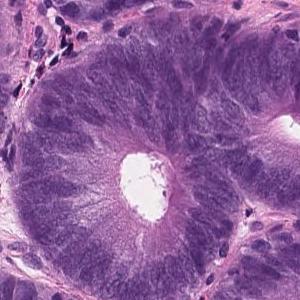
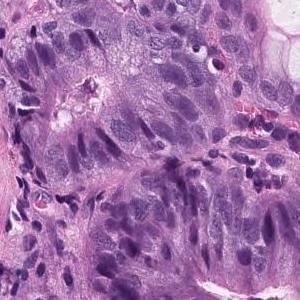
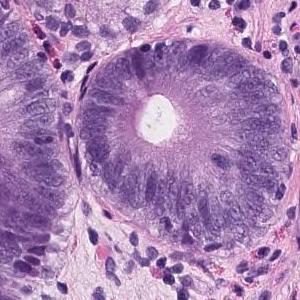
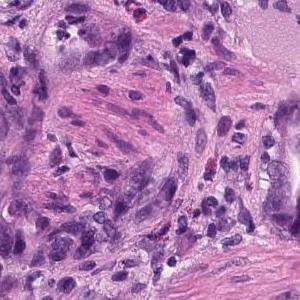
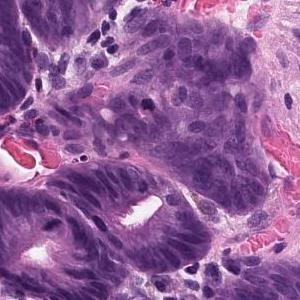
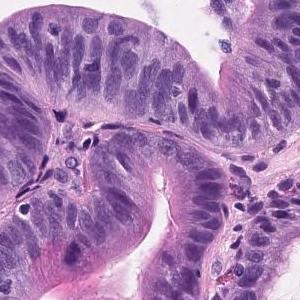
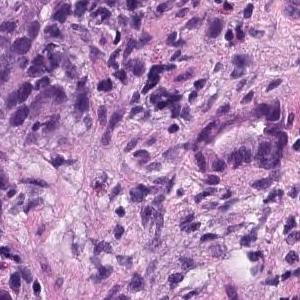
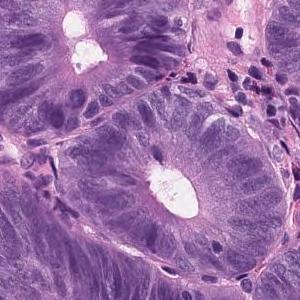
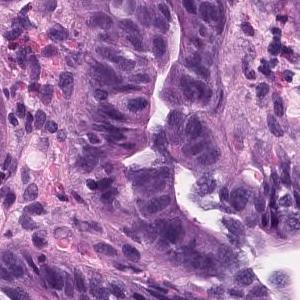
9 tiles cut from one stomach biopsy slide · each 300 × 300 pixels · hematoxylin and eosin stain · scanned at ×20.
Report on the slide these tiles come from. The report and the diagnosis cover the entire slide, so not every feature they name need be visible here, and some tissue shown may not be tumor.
On the superficial epithelium, tumor tissue with densely growing medium to large, round tubules is observed. Tumor cells are highly columnar, with nuclei aligned basolaterally and polarized. Well differentiated tubular adenocarcinoma
